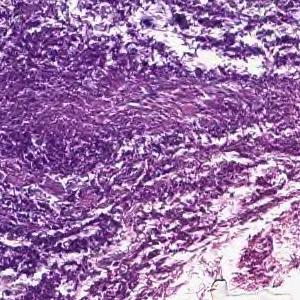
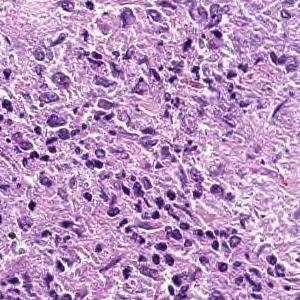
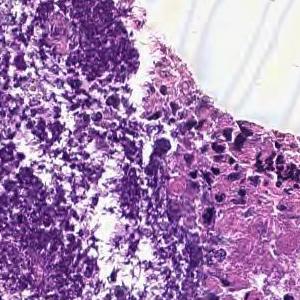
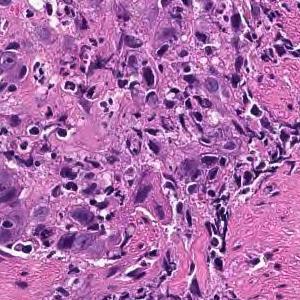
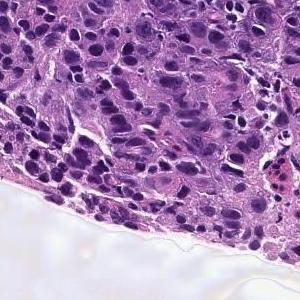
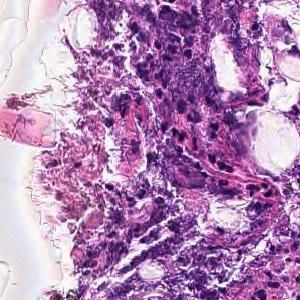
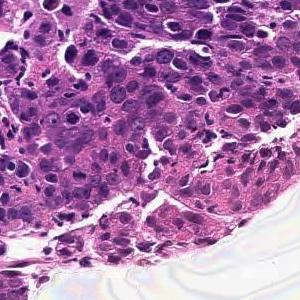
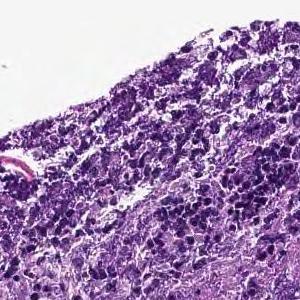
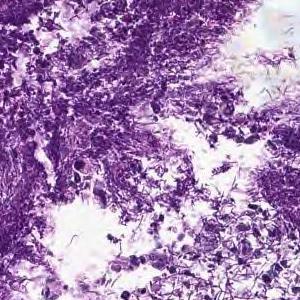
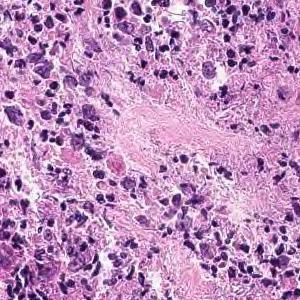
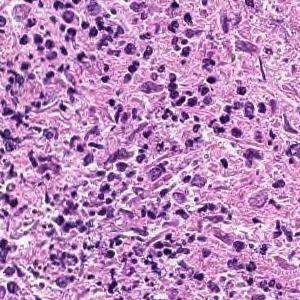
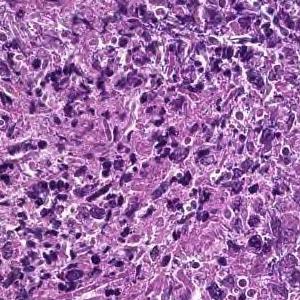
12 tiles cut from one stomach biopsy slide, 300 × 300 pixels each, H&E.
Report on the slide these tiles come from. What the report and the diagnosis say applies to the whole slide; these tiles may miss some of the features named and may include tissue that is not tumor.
Cancers with polygonal nuclei do not show glandular formation and are densely, in part, cord-like and proliferate. Poorly differentiated adenocarcinoma
Classified as poorly differentiated adenocarcinoma, non-solid type.
"Non-solid type" is a category of the Japanese Classification of Gastric Carcinoma.
